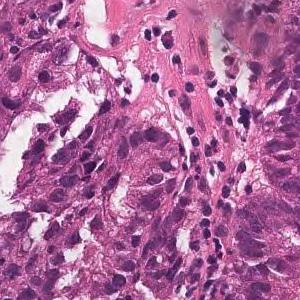
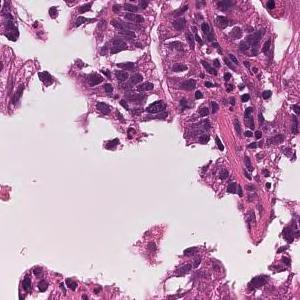
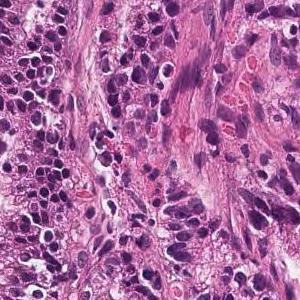
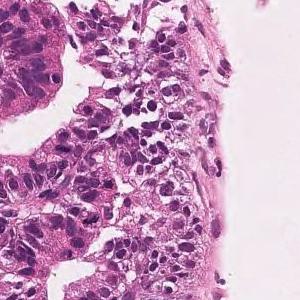
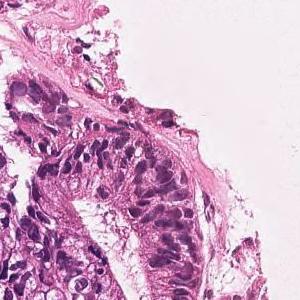
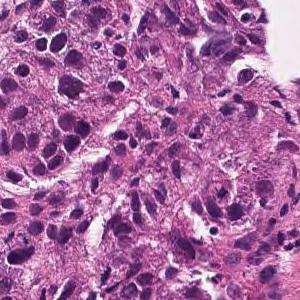
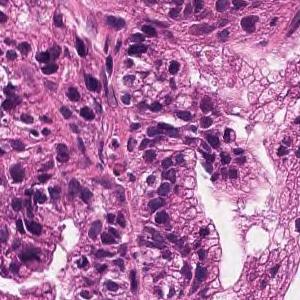
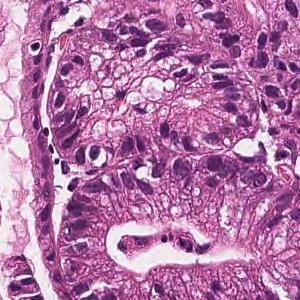
Scanned at ×20 · 8 image tiles from a single gastric biopsy slide.
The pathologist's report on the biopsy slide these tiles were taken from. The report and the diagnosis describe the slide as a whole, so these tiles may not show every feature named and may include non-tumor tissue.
On the superficial epithelium, tumor tissue consisting of large, irregular glandular ducts partially fused and infiltrated is observed. Well to moderately differentiated tubular adenocarcinoma (well differentiated tubular adenocarcinoma, moderately differentiated tubular adenocarcinoma)
Tumor subtype: well to moderately differentiated tubular adenocarcinoma.
